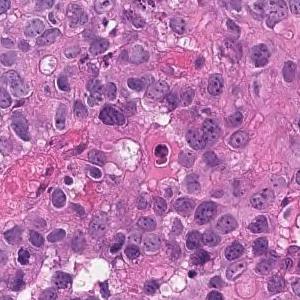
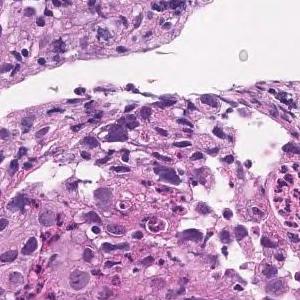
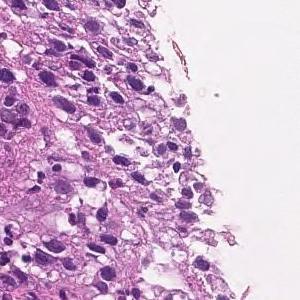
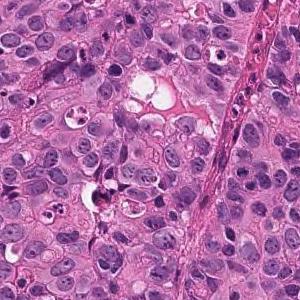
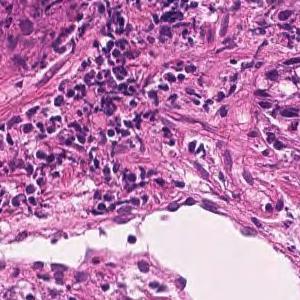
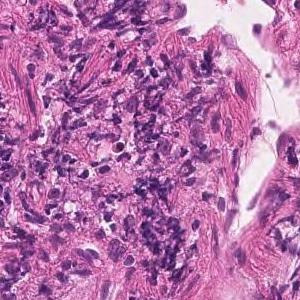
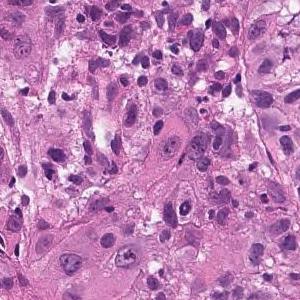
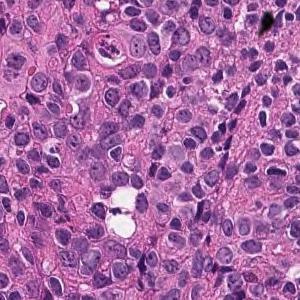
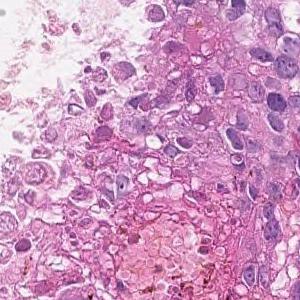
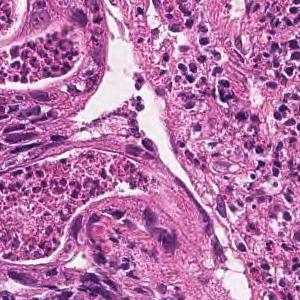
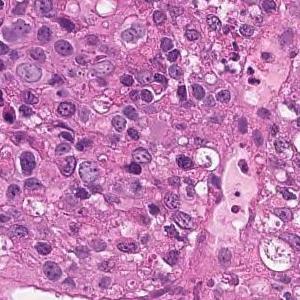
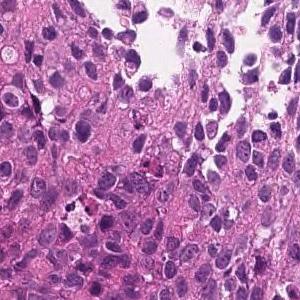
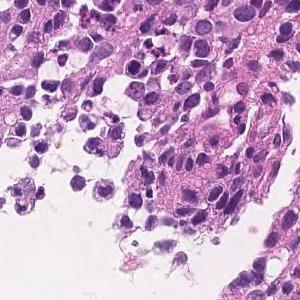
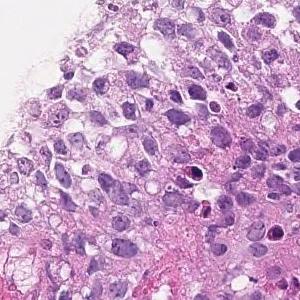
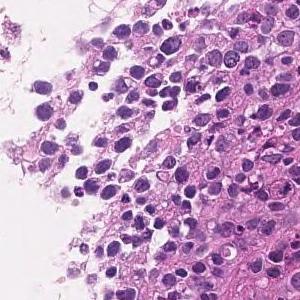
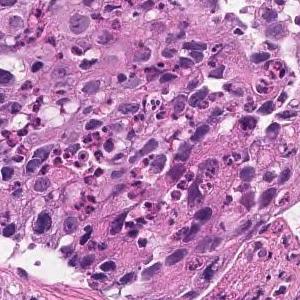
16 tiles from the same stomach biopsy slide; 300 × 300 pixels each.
Diagnostic report for the slide these tiles come from. Both the report and the diagnosis are for the whole slide: these tiles need not show every feature named, and some of the tissue shown may not be tumor.
The superficial epithelium shows a large sheet-like shape, and some tumor tissue infiltrates with small irregular ducts. Poorly differentiated adenocarcinoma, solid-type
Histologic type: Poorly differentiated adenocarcinoma, solid type (Japanese Classification of Gastric Carcinoma). The WHO 2019 equivalent is tubular adenocarcinoma, poorly differentiated.
